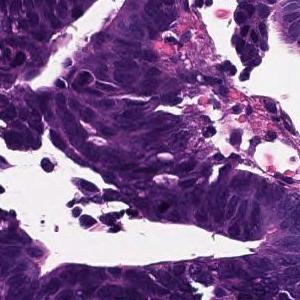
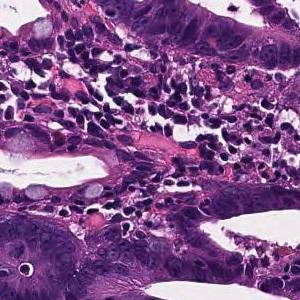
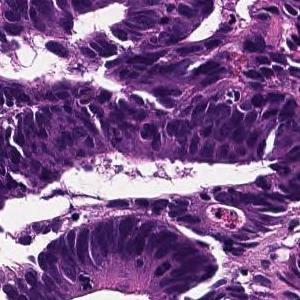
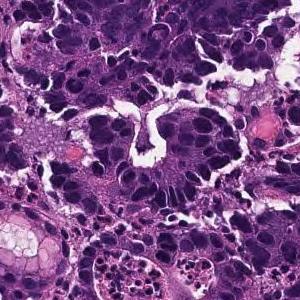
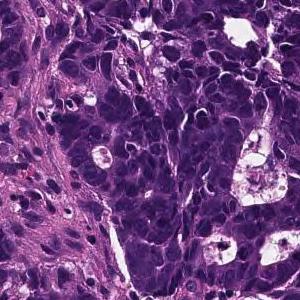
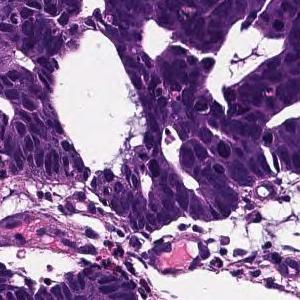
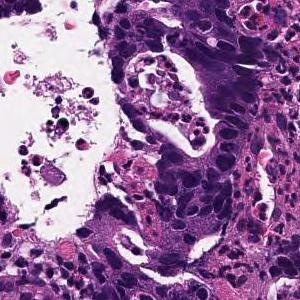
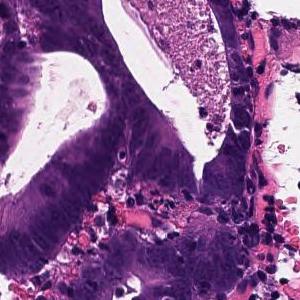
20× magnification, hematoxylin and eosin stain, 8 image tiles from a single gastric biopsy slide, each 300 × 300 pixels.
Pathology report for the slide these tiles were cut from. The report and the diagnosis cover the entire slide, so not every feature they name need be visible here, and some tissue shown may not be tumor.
In the superficial epithelium, tumor tissue that invades by forming medium-sized to small, irregular ducts is observed. moderately differentiated tubular adenocarcinoma.
